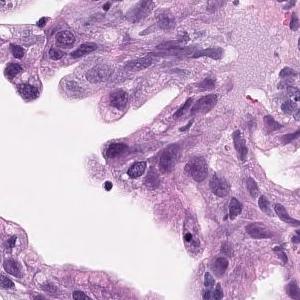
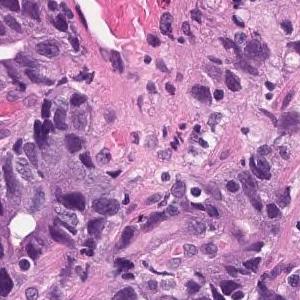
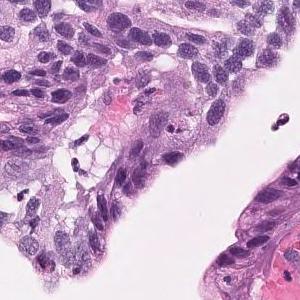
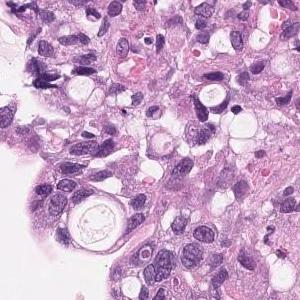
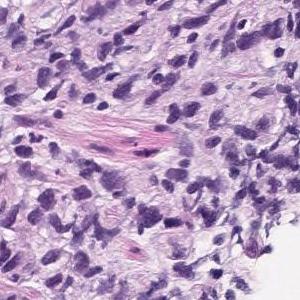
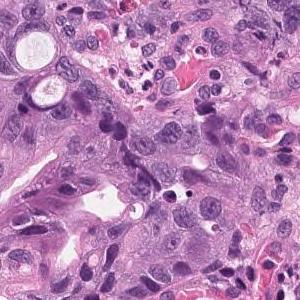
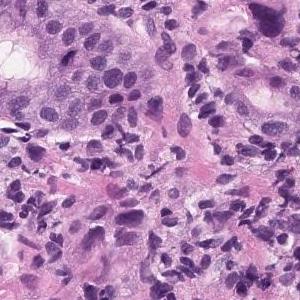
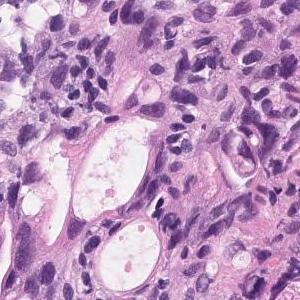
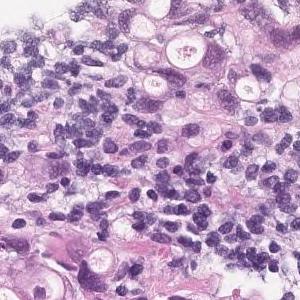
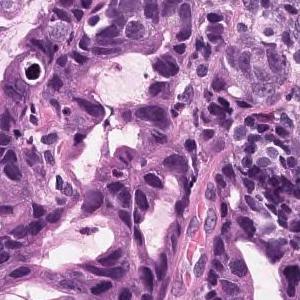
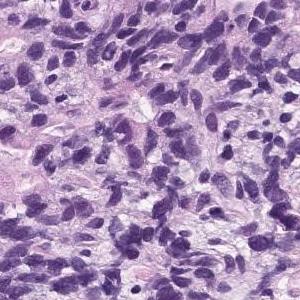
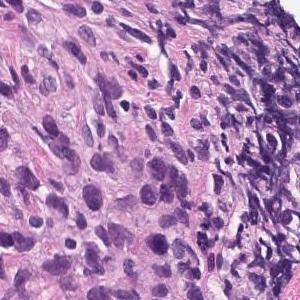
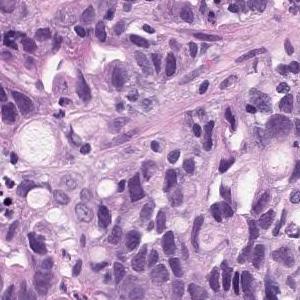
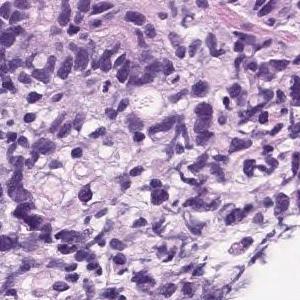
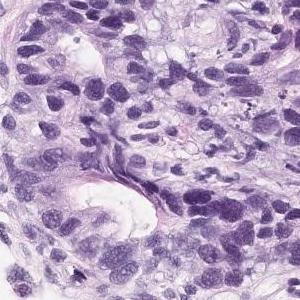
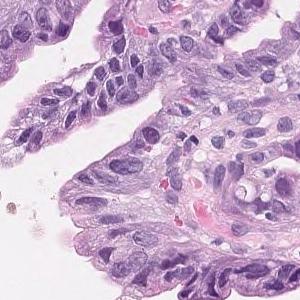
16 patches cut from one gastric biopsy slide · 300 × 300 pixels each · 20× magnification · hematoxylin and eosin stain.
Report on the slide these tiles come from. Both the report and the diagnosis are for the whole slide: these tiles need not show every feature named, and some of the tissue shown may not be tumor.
Tumor tissue consisting of medium-sized, cord-like or irregular glandular infiltration is observed in the superficial epithelium. Poorly differentiated adenocarcinoma, non-solid type or moderately differentiated tubular adenocarcinoma
Labeled in the dataset as poorly differentiated adenocarcinoma, non-solid type.
The term "non-solid type" comes from the Japanese Classification of Gastric Carcinoma.
